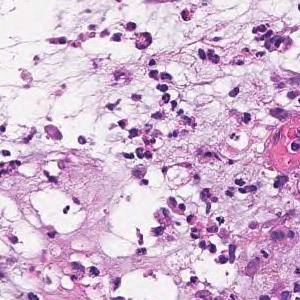
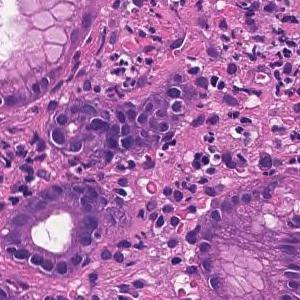
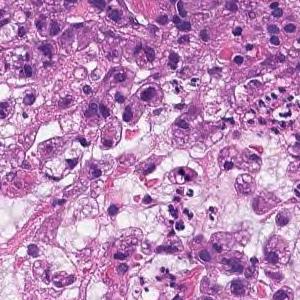
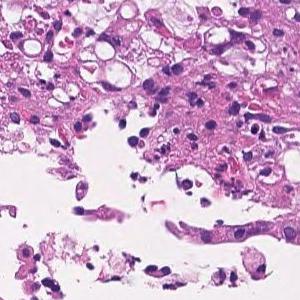
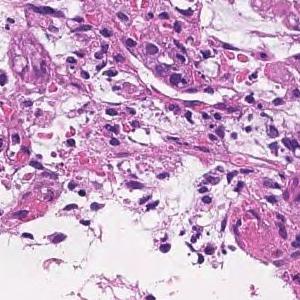
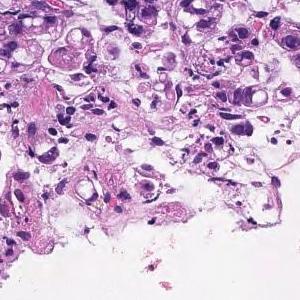
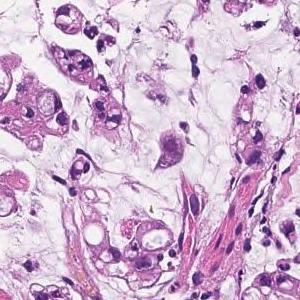
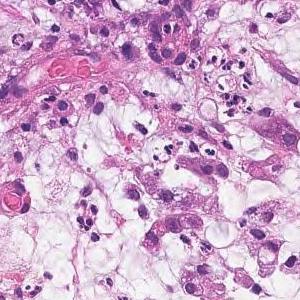
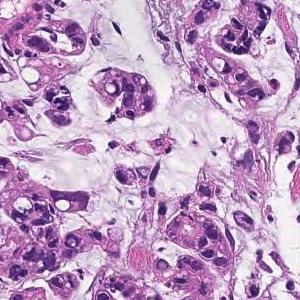
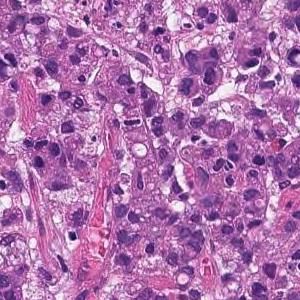
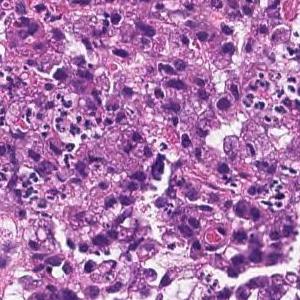
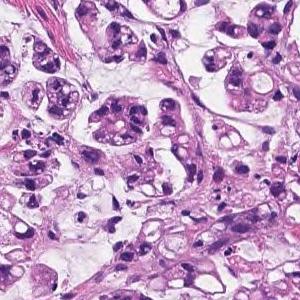
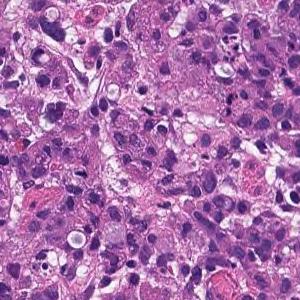
13 image tiles from a single gastric biopsy slide · each 300 × 300 pixels.
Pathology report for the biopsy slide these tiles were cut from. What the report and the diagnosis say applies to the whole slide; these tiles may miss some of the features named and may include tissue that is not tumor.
Tumor tissue consisting of cord-like or small, irregular glandular ducts fused and infiltrated is observed in the superficial epithelium. Poorly differentiated adenocarcinoma, non-solid type
The non-solid type named here is a Japanese Classification of Gastric Carcinoma category.
